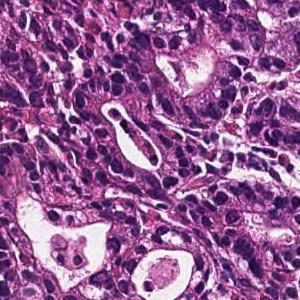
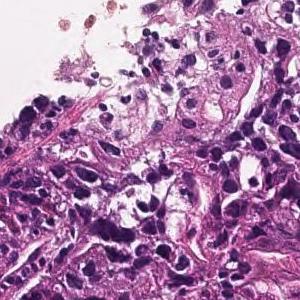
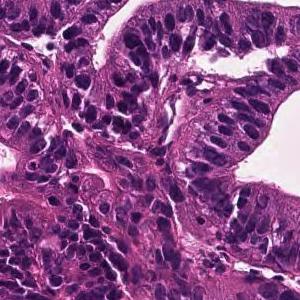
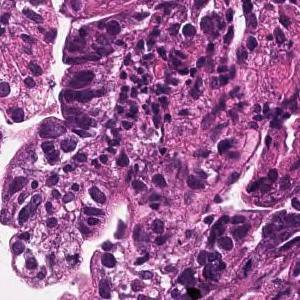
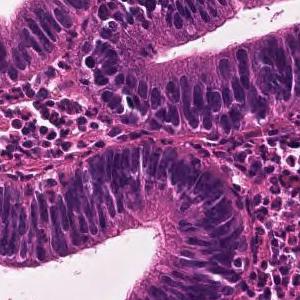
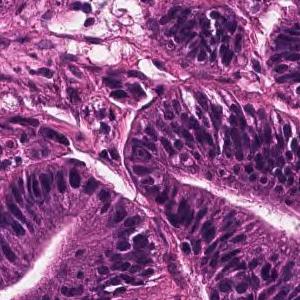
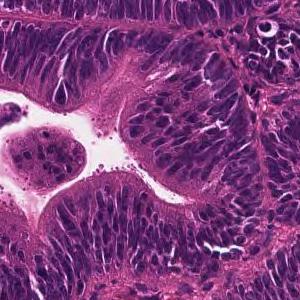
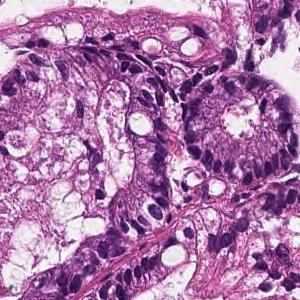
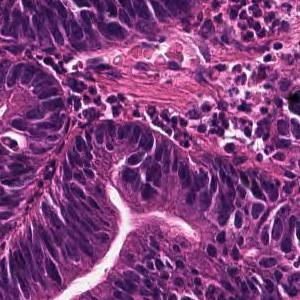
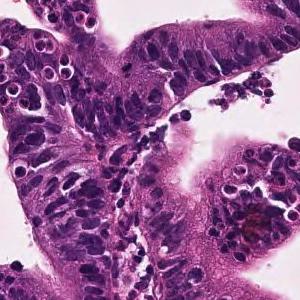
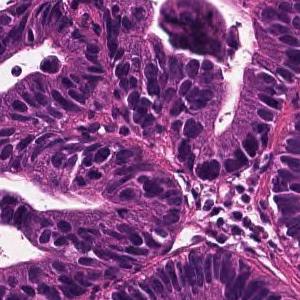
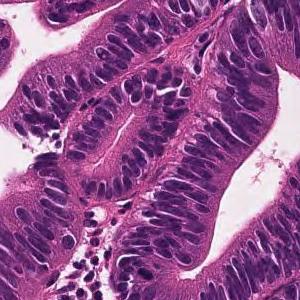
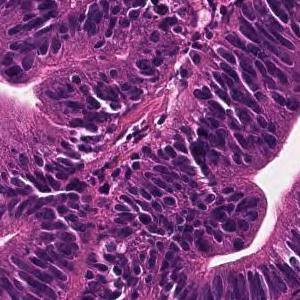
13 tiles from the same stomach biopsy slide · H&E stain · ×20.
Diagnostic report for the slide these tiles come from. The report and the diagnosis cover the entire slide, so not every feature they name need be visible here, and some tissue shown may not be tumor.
A large irregular tubular structure is exhibited in the epithelium, and tumor tissue that partially fuses and infiltrates and proliferates is observed. Large columnar tumor cells exhibit enlarged nucleus, hyperchromatism, and mitotic figures. Well differentiated tubular adenocarcinoma
